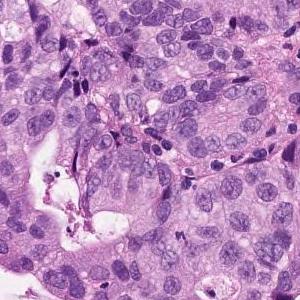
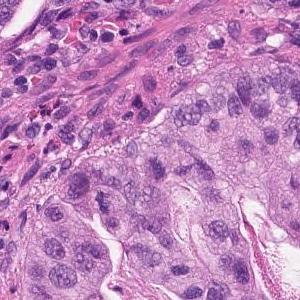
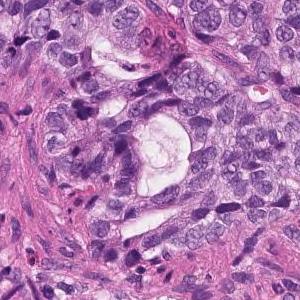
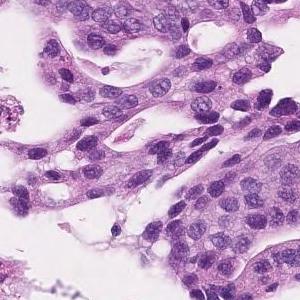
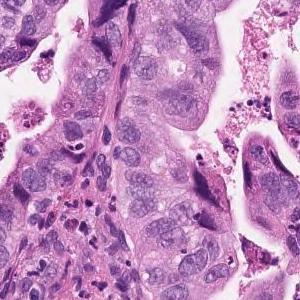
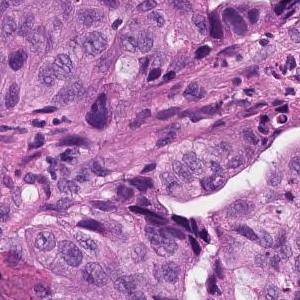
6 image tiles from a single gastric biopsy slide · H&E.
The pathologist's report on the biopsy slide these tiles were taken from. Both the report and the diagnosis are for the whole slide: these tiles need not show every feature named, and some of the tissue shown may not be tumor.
Atypical epithelium forming papillary or sieving ducts and infiltrating growth is observed. Papillary adenocarcinoma.
